12 tiles cut from one stomach biopsy slide; 300 × 300 pixels each; scanned at ×20; H&E stain.
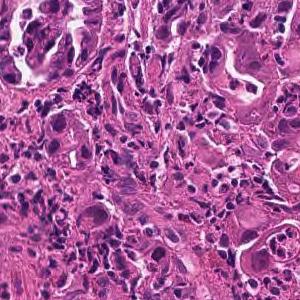
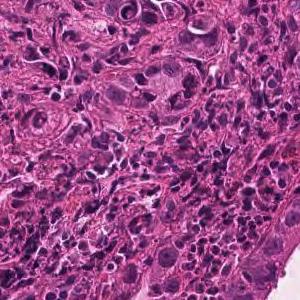
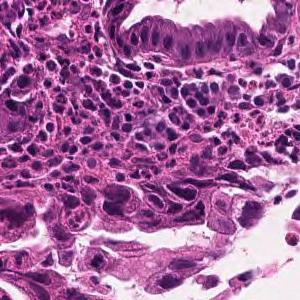
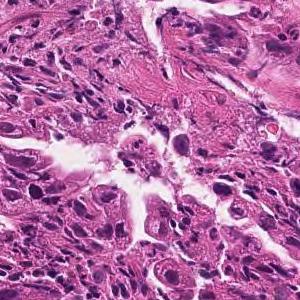
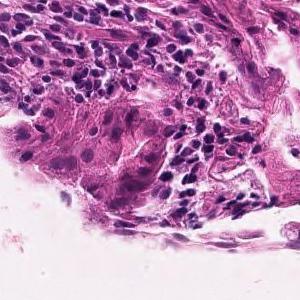
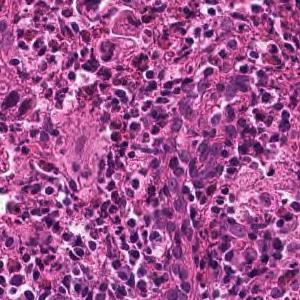
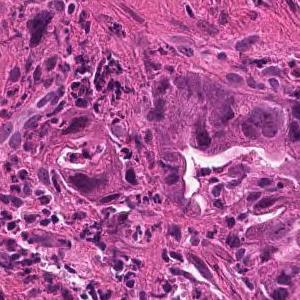
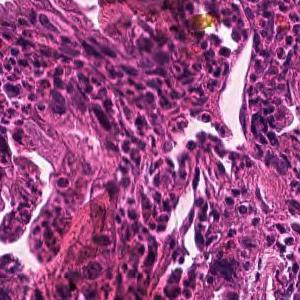
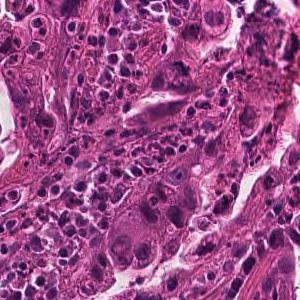
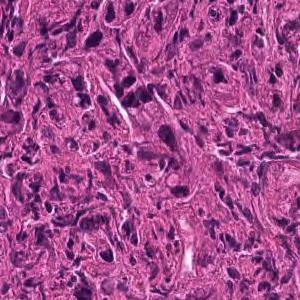
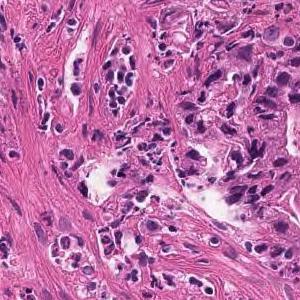
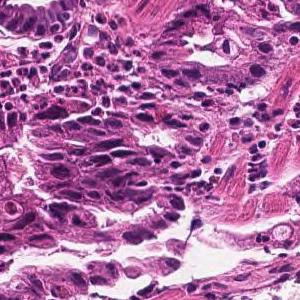
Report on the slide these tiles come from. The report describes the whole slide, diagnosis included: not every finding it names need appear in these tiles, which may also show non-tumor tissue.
Medium to small, irregular glandular ducts are formed in the superficial epithelium, and in some cases, the glandular ducts are fused to show solid alveolar lesions and infiltrating tumor tissue is observed. Moderately to poorly differentiated adenocarcinoma.
